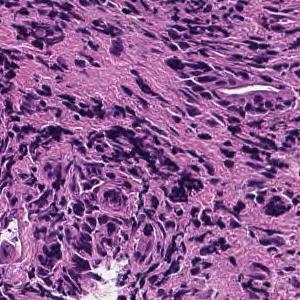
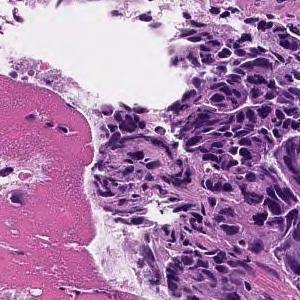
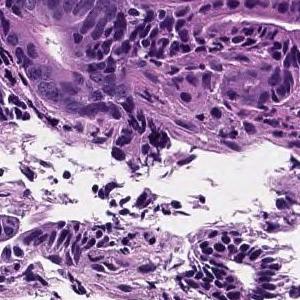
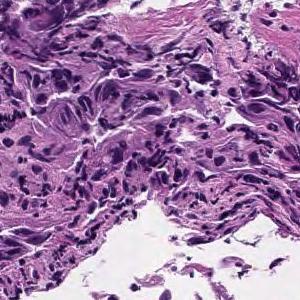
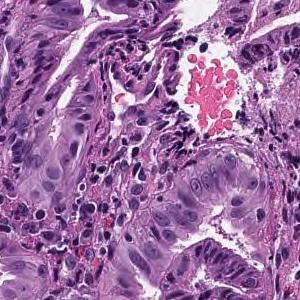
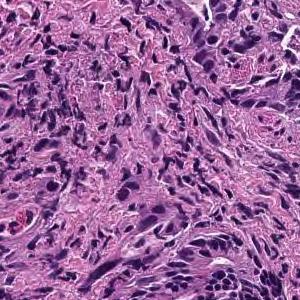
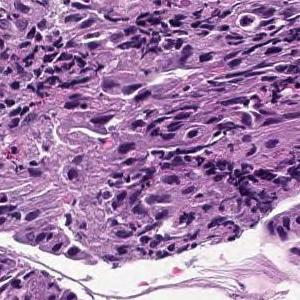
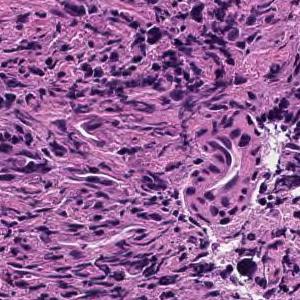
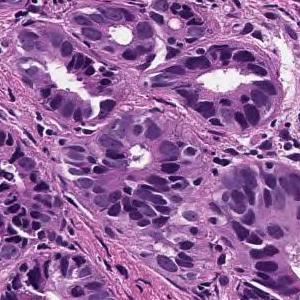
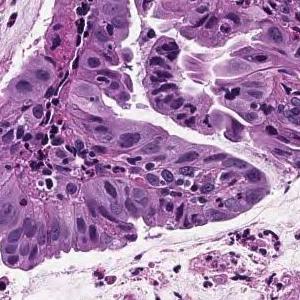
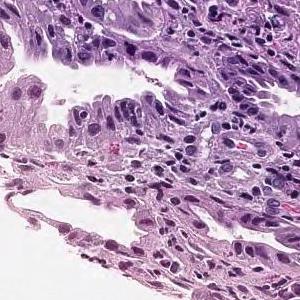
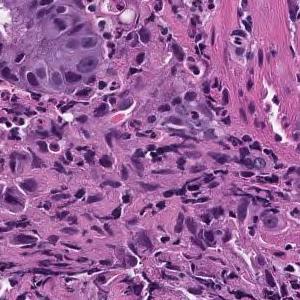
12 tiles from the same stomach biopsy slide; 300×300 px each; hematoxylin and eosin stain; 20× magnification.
Report on the slide these tiles come from. What the report and the diagnosis say applies to the whole slide; these tiles may miss some of the features named and may include tissue that is not tumor.
On the superficial epithelium, tumor tissue consisting of large, irregular glandular ducts partially fused and infiltrated is observed. Well to moderately differentiated tubular adenocarcinoma (well differentiated tubular adenocarcinoma, moderately differentiated tubular adenocarcinoma)
Classified as well to moderately differentiated tubular adenocarcinoma.
